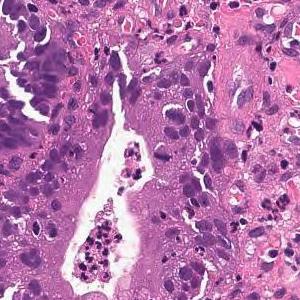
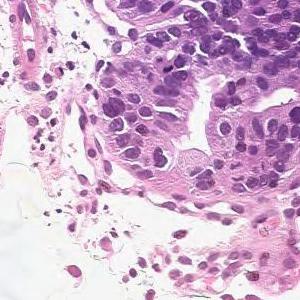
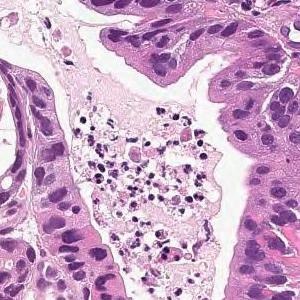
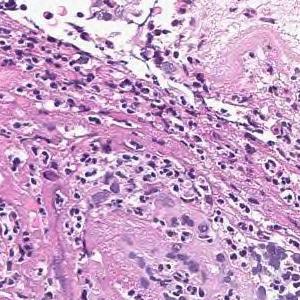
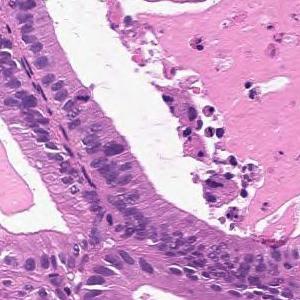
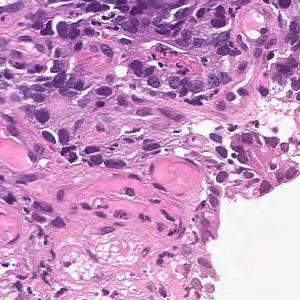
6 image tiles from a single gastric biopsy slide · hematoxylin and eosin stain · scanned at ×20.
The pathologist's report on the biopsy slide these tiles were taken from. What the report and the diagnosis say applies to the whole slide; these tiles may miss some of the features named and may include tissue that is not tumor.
From the superficial epithelium to the muscularis mucosae, tumor tissue consisting of medium-sized and irregular glandular ducts infiltrating is observed. Well differentiated tubular adenocarcinoma
